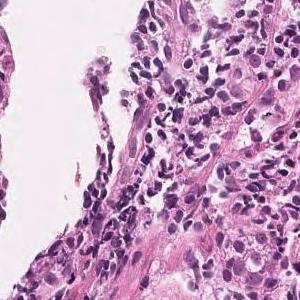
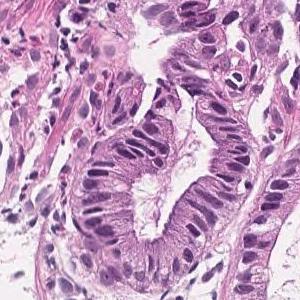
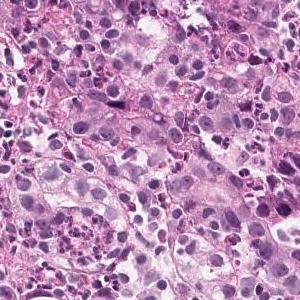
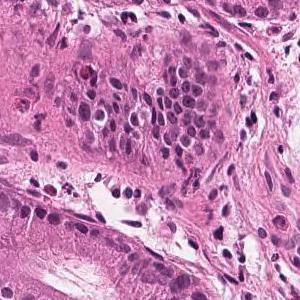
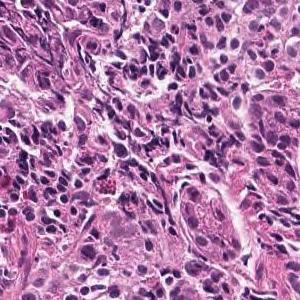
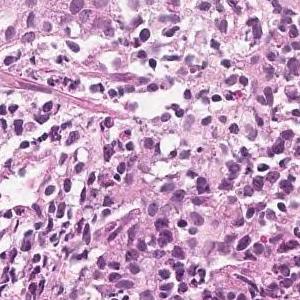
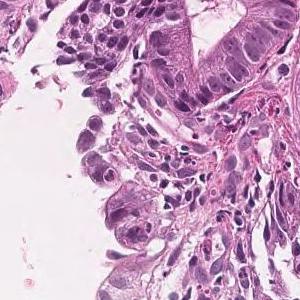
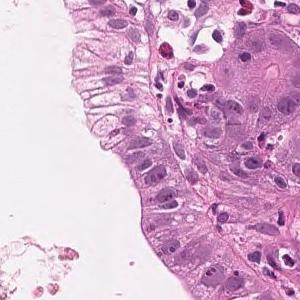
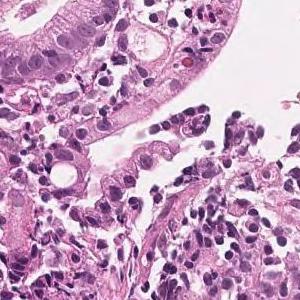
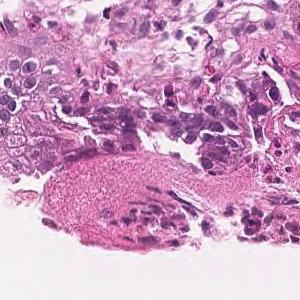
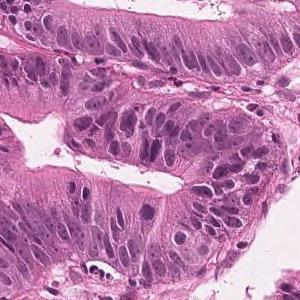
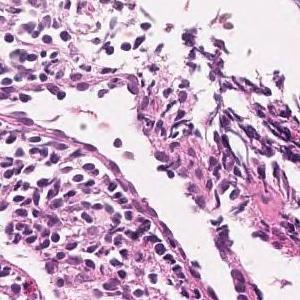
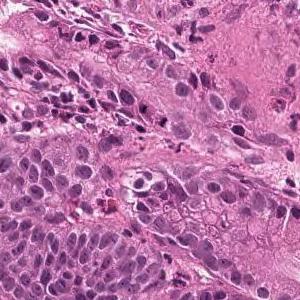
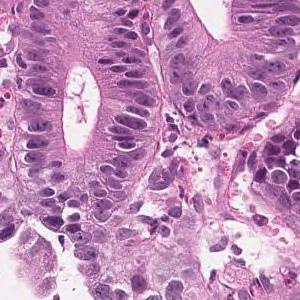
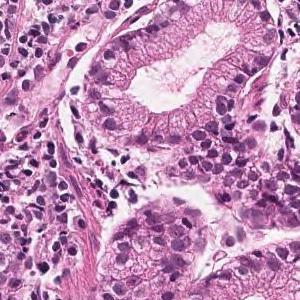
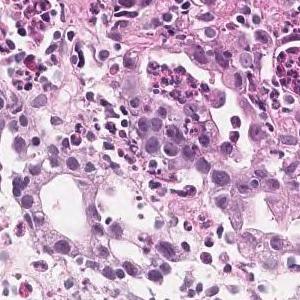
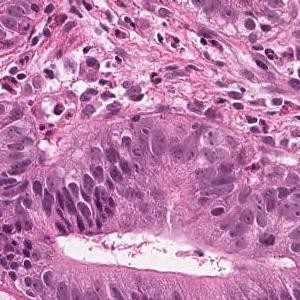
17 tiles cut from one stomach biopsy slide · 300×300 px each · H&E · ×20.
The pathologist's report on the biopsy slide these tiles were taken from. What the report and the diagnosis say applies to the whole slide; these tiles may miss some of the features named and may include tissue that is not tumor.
On the superficial epithelium, tumor tissue consisting of large, irregular glandular ducts partially fused and infiltrated is observed. Well to moderately differentiated tubular adenocarcinoma (well differentiated tubular adenocarcinoma, moderately differentiated tubular adenocarcinoma)
Tumor subtype: well to moderately differentiated tubular adenocarcinoma.
